Scanned at ×20 · hematoxylin and eosin stain · 10 tiles cut from one stomach biopsy slide · each 300 × 300 pixels.
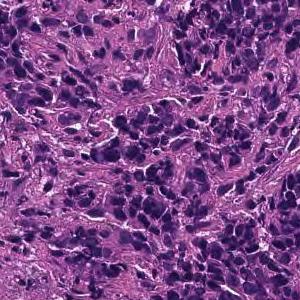
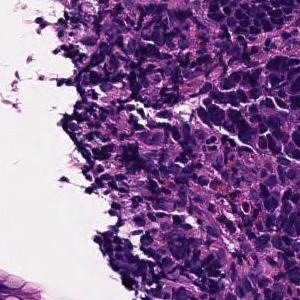
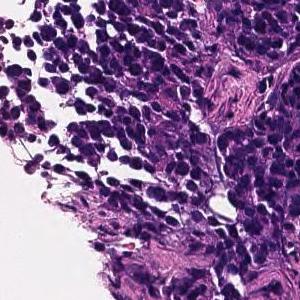
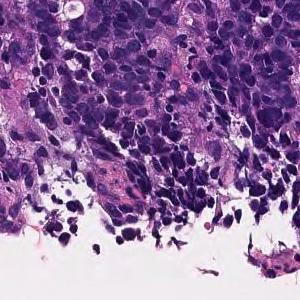
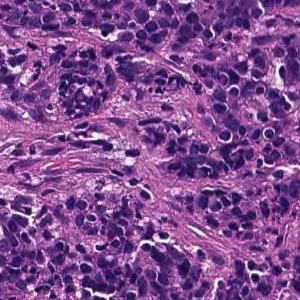
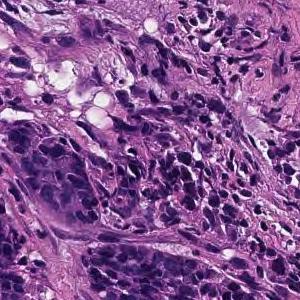
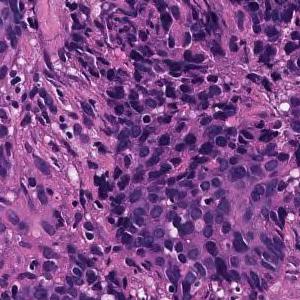
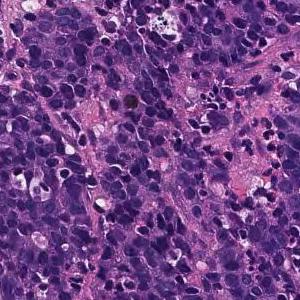
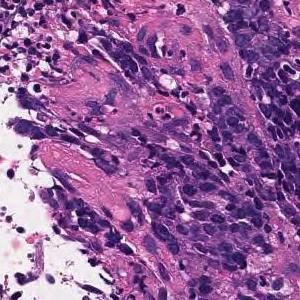
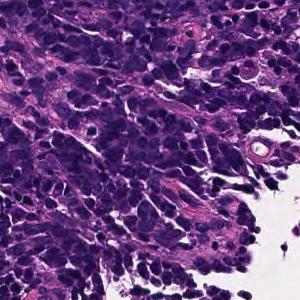
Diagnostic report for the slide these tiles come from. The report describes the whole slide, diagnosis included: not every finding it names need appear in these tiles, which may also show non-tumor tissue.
Tumor tissue consisting of cord-like or small, irregular glandular ducts fused and infiltrated is observed in the superficial epithelium. Poorly differentiated adenocarcinoma, non-solid type
The term "non-solid type" comes from the Japanese Classification of Gastric Carcinoma.
